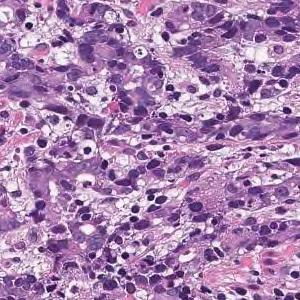
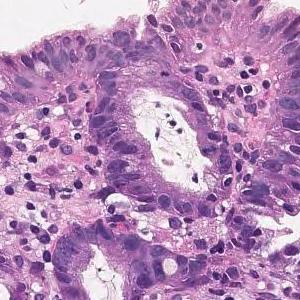
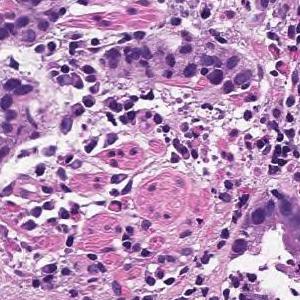
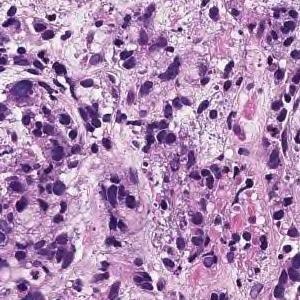
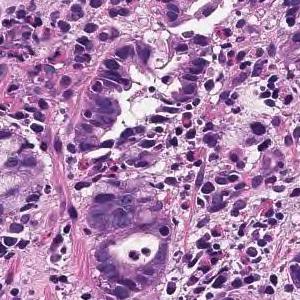
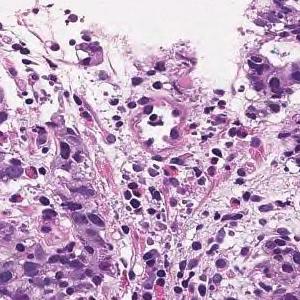
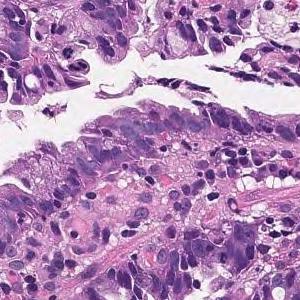
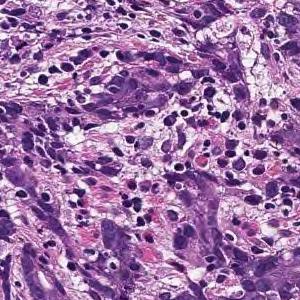
H&E stain; 8 tiles cut from one stomach biopsy slide; each 300 × 300 pixels.
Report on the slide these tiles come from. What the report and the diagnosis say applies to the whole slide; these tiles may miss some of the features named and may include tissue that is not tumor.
Tumor tissue consisting of cord-like or small, irregular glandular ducts fused and infiltrated is observed in the superficial epithelium. Poorly differentiated adenocarcinoma, non-solid type
"Non-solid type" is a category of the Japanese Classification of Gastric Carcinoma.
